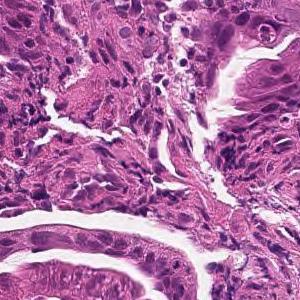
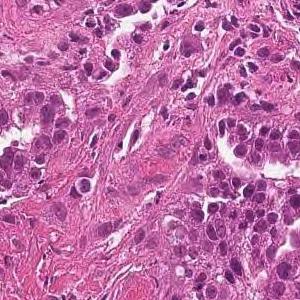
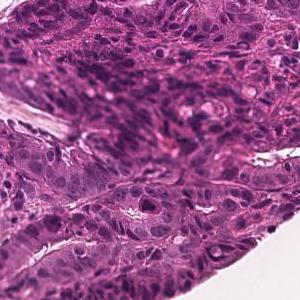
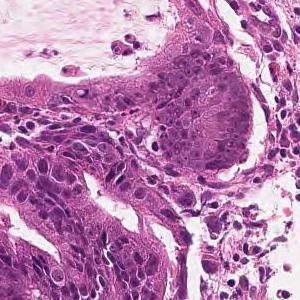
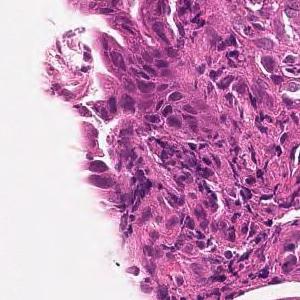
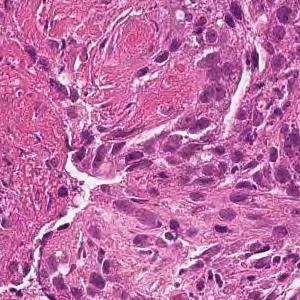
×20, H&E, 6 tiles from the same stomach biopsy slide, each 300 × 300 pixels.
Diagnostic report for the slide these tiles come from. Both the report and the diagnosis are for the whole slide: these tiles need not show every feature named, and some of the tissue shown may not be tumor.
Tumor tissue consisting of large papillary structures is found in the superficial epithelium. Papillary adenocarcinoma.
